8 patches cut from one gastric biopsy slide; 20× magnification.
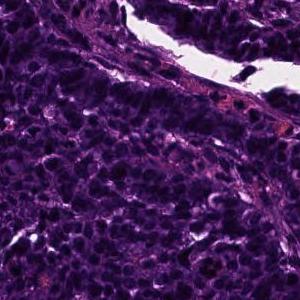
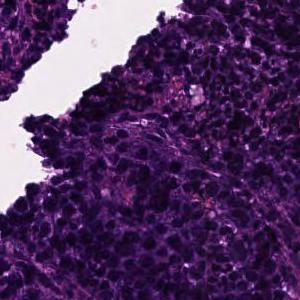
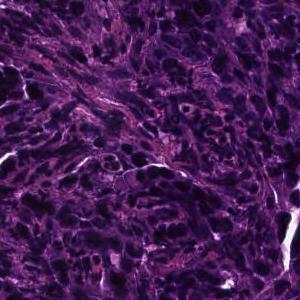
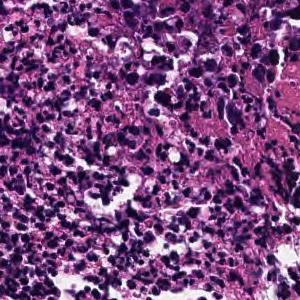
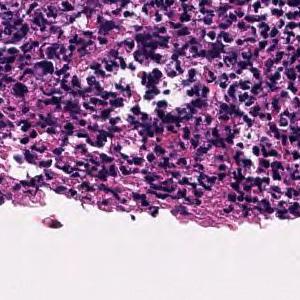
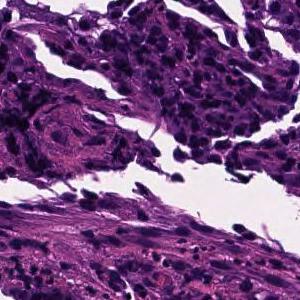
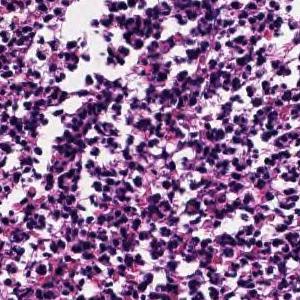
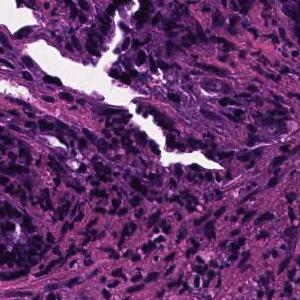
Report on the slide these tiles come from. The report describes the whole slide, diagnosis included: not every finding it names need appear in these tiles, which may also show non-tumor tissue.
In the superficial epithelium, tumor tissue that invades by forming medium-sized to small, irregular ducts is observed. moderately differentiated tubular adenocarcinoma.
